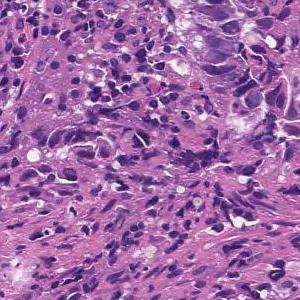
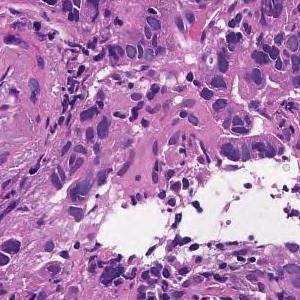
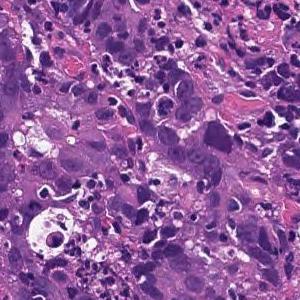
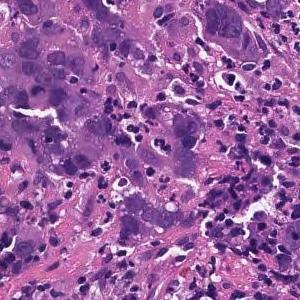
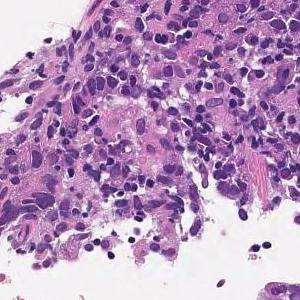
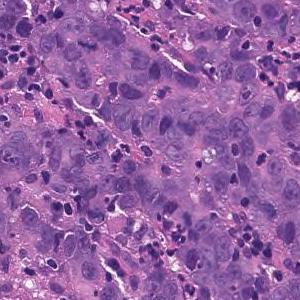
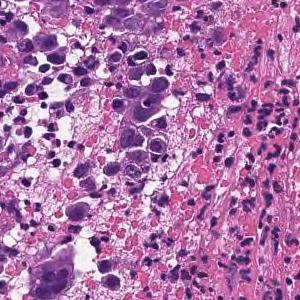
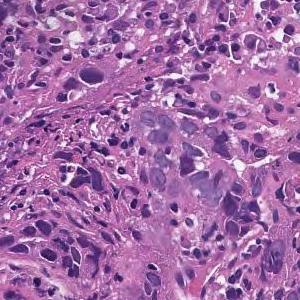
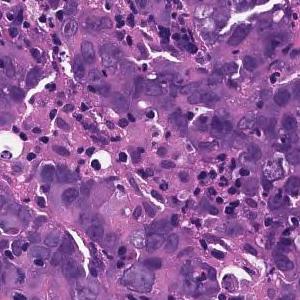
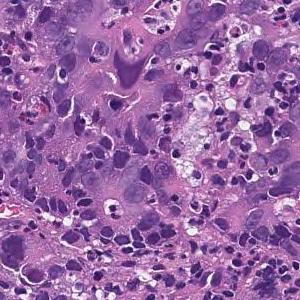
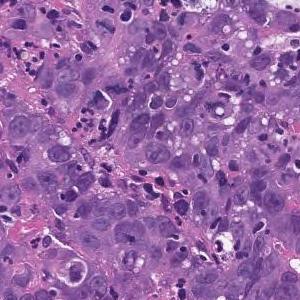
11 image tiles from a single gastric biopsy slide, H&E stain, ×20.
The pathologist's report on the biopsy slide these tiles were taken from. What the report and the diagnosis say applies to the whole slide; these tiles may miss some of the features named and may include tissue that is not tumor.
Tumor tissue consisting of cord-like or small, irregular glandular ducts fused and infiltrated is observed in the superficial epithelium. Poorly differentiated adenocarcinoma, non-solid type
"Non-solid type" is a category of the Japanese Classification of Gastric Carcinoma.
